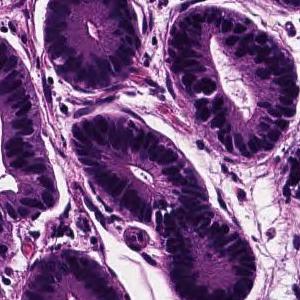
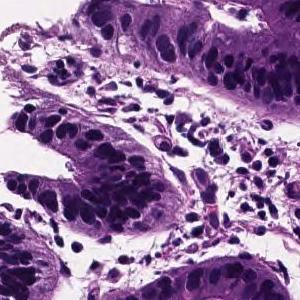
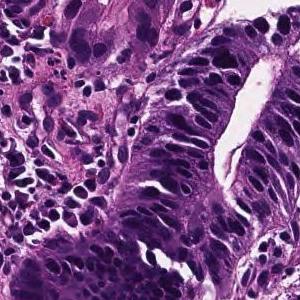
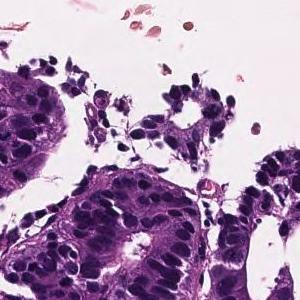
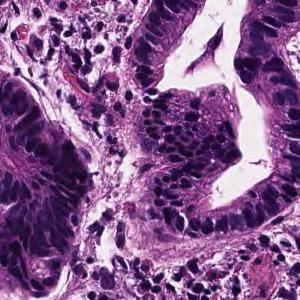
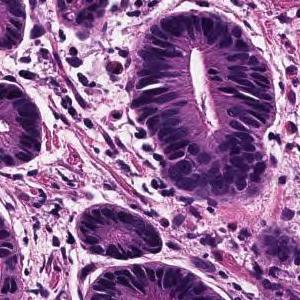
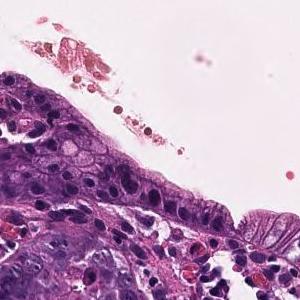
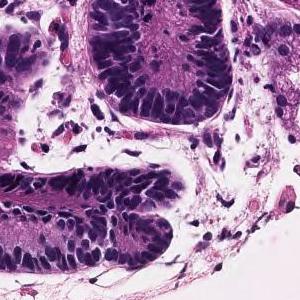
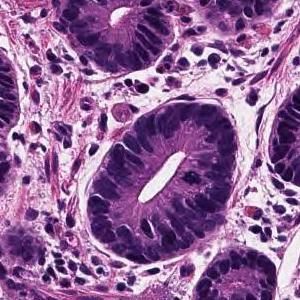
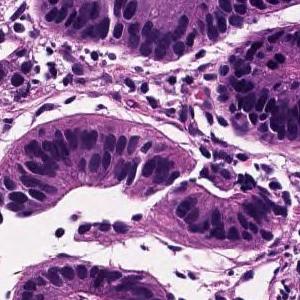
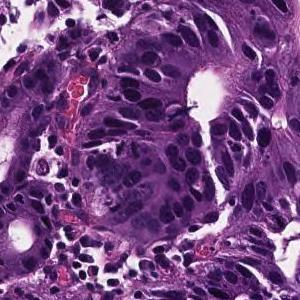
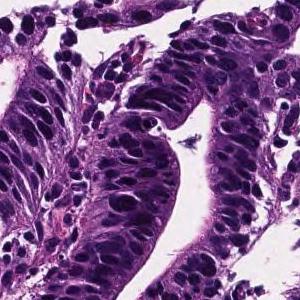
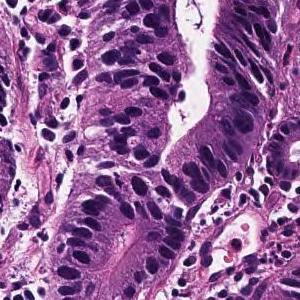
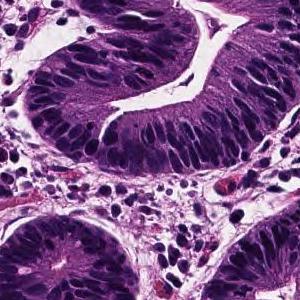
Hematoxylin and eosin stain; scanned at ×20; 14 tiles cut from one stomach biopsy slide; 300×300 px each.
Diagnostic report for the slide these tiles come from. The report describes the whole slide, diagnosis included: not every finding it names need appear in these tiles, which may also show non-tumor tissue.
From the superficial epithelium to the muscularis mucosae, tumor tissue consisting of medium-sized and irregular glandular ducts infiltrating is observed. Well differentiated tubular adenocarcinoma
